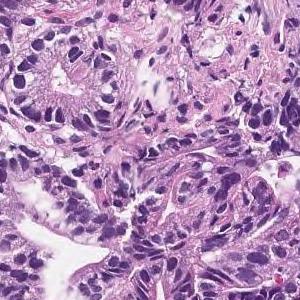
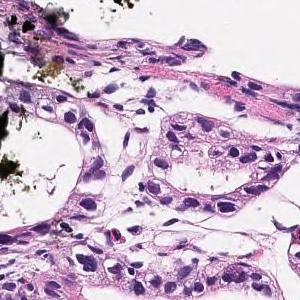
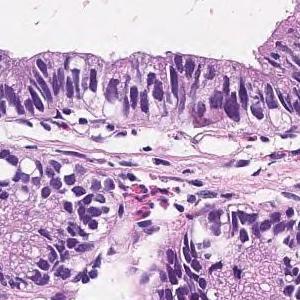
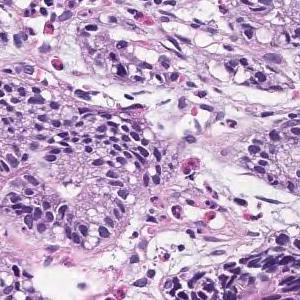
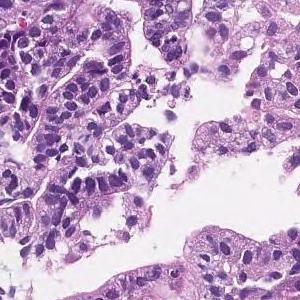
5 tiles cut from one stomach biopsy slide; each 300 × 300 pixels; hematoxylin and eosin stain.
Report on the slide these tiles come from. The report and the diagnosis cover the entire slide, so not every feature they name need be visible here, and some tissue shown may not be tumor.
In the superficial epithelium, tumor tissue that invades by forming medium-sized to small, irregular ducts is observed. Moderately differentiated adenocarcinoma.
Histologic type: Moderately differentiated tubular adenocarcinoma.
